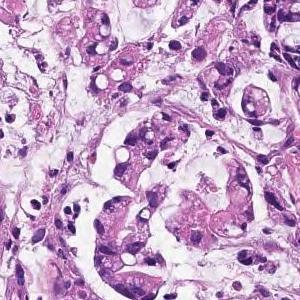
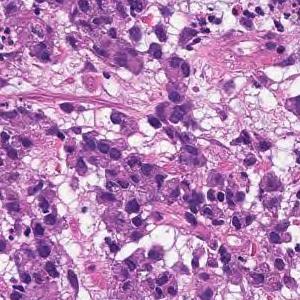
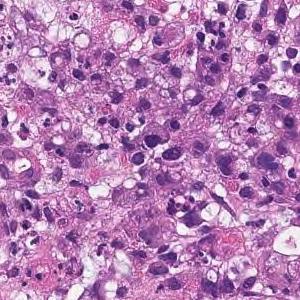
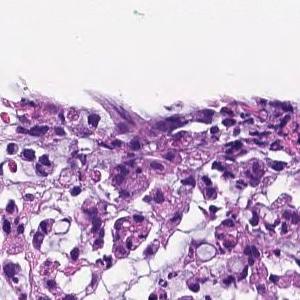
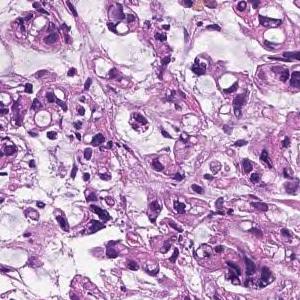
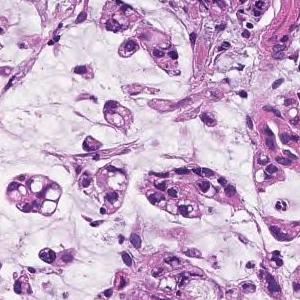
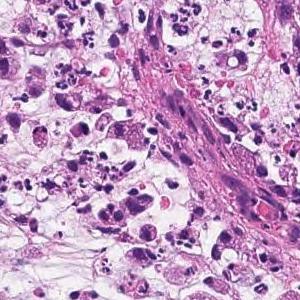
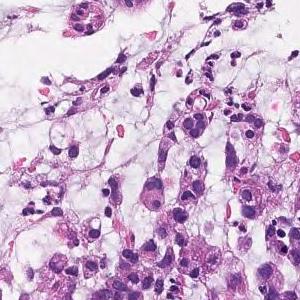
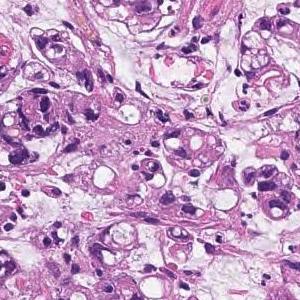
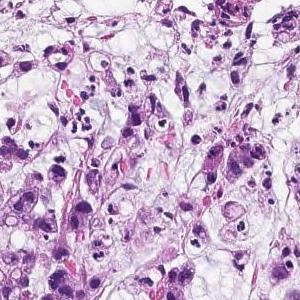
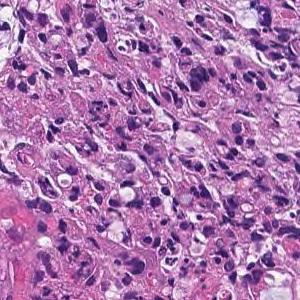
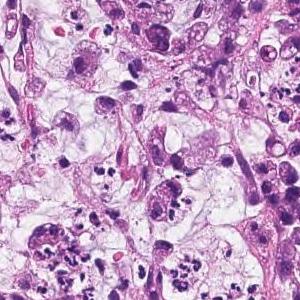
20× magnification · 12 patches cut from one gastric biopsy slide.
Pathology report for the slide these tiles were cut from. The findings and the diagnosis refer to the entire slide; these tiles show only part of it, possibly with non-tumor tissue, and may not show every feature named.
Tumor tissue consisting of cord-like or small, irregular glandular ducts fused and infiltrated is observed in the superficial epithelium. Poorly differentiated adenocarcinoma, non-solid type
The term "non-solid type" comes from the Japanese Classification of Gastric Carcinoma.
